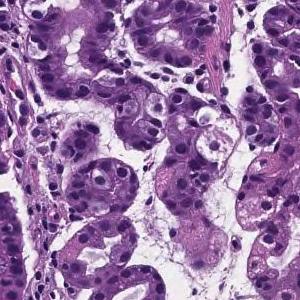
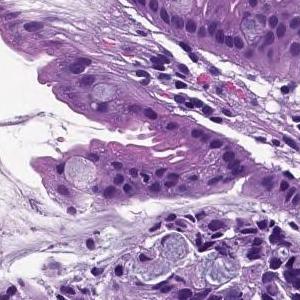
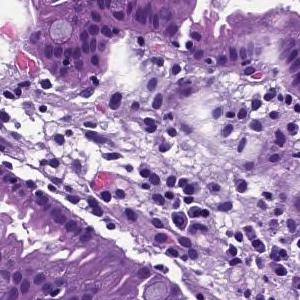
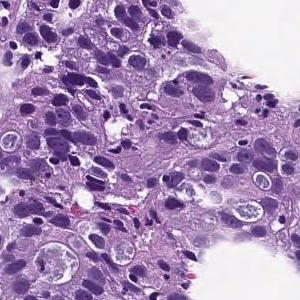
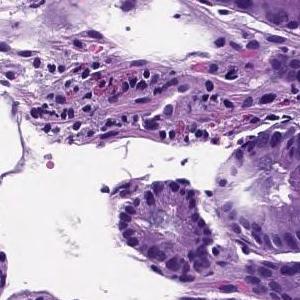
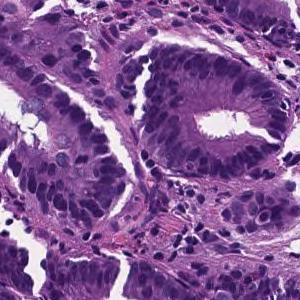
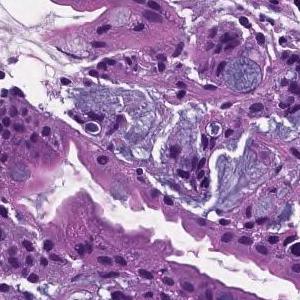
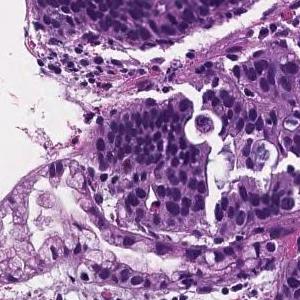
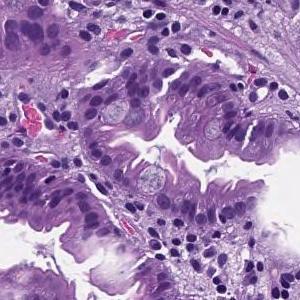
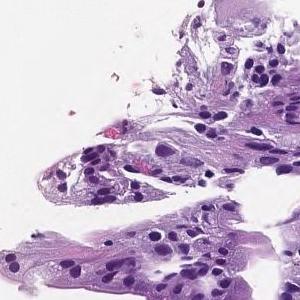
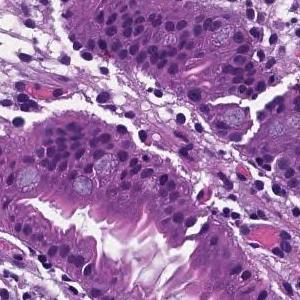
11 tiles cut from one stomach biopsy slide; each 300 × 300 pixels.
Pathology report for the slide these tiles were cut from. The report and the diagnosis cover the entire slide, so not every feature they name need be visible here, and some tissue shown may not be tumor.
In the superficial epithelium, tumor tissue that invades by forming medium-sized to small, irregular ducts is observed. moderately differentiated tubular adenocarcinoma.
